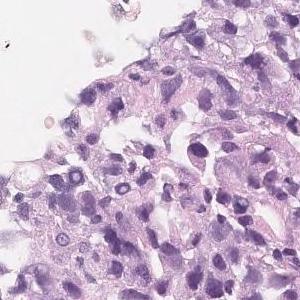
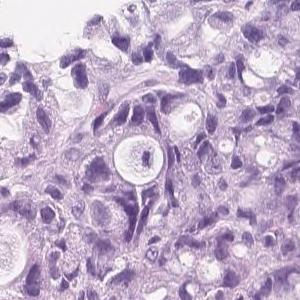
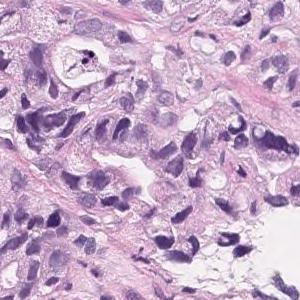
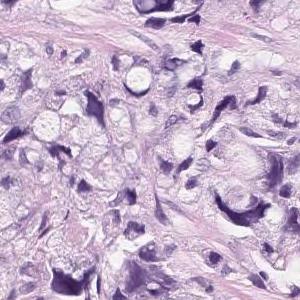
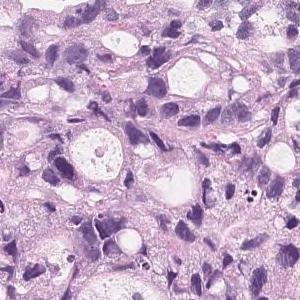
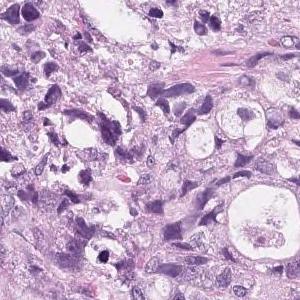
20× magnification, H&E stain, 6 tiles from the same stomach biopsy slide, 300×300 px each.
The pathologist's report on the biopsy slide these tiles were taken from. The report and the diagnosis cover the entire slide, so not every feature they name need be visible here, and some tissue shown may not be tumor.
Tumor tissue that infiltrates and proliferates by forming small glandular cavities in the superficial layer to the submucosa or forming a mass is observed. moderately differentiated tubular adenocarcinoma
